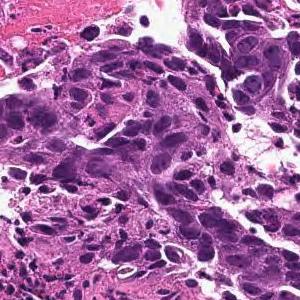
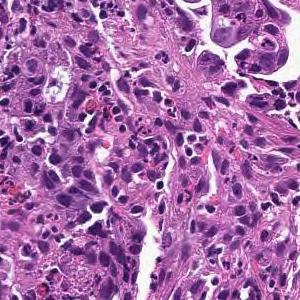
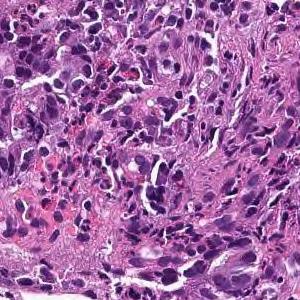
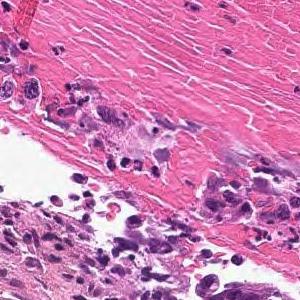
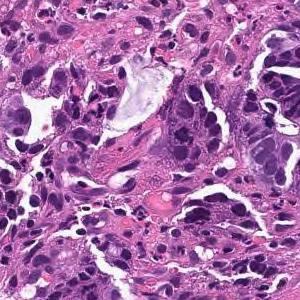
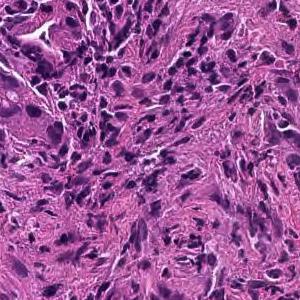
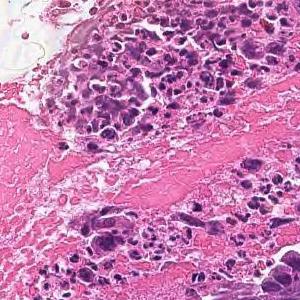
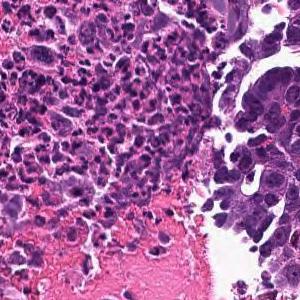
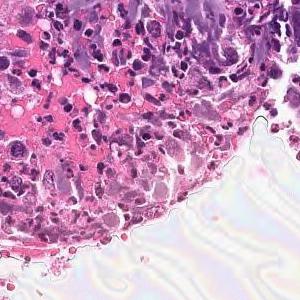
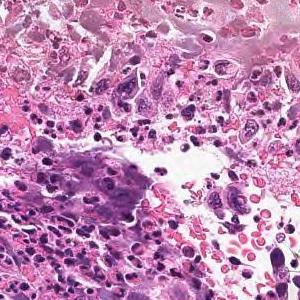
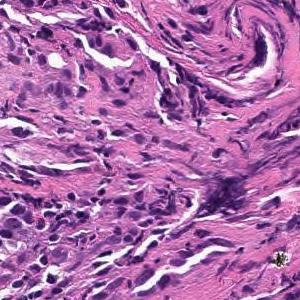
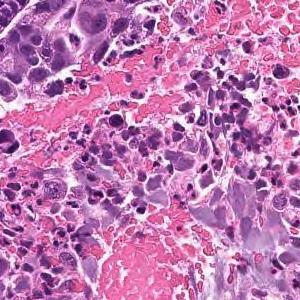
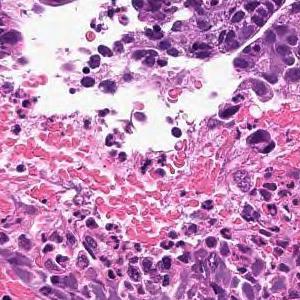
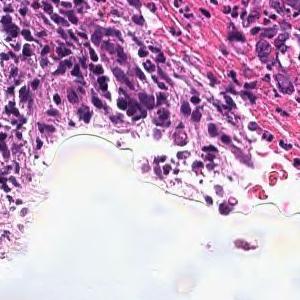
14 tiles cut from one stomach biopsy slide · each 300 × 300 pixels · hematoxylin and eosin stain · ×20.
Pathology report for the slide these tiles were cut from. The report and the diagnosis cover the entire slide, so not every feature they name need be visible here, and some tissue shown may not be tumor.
In the superficial epithelium, tumor tissue that invades by forming medium-sized to small, irregular ducts is observed. moderately differentiated tubular adenocarcinoma.
